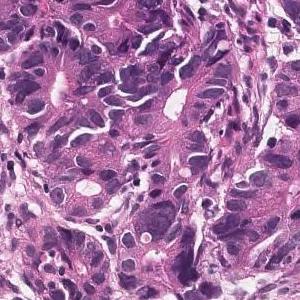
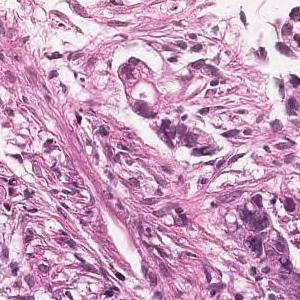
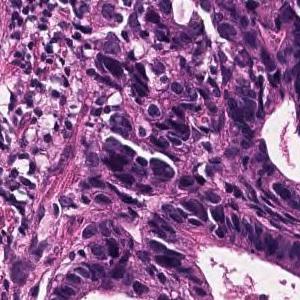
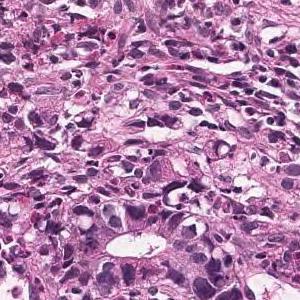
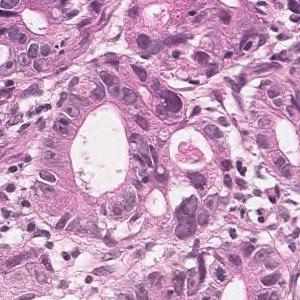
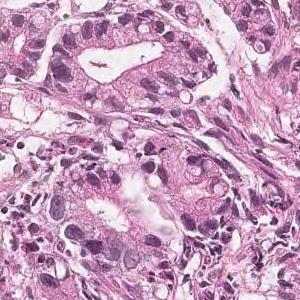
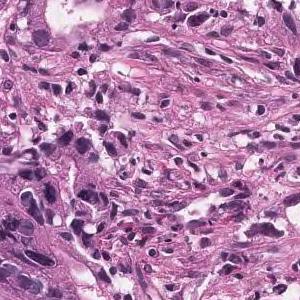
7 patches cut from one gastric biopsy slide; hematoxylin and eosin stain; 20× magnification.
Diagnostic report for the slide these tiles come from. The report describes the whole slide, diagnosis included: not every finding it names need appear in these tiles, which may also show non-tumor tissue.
In the superficial epithelium, tumor tissue is found in which medium-sized irregular gland ducts fuse with each other and infiltrate. moderately differentiated tubular adenocarcinoma
